16 image tiles from a single gastric biopsy slide; 20× magnification; H&E.
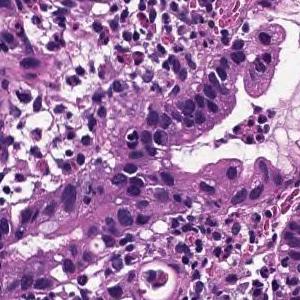
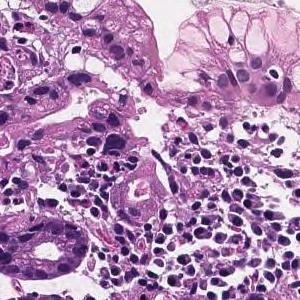
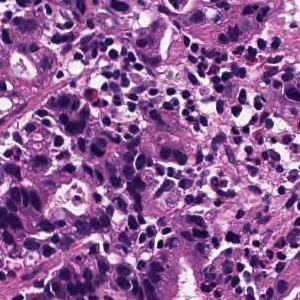
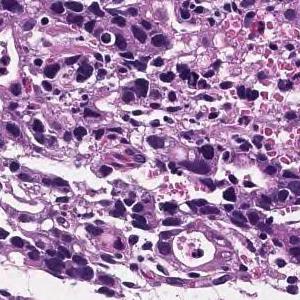
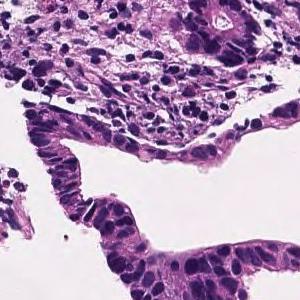
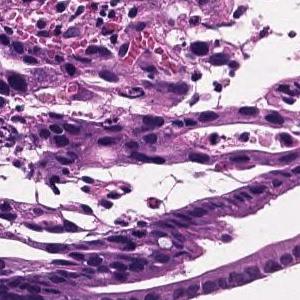
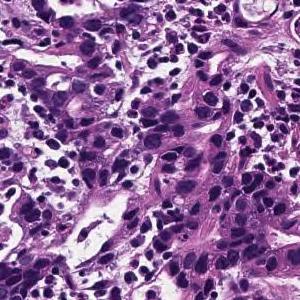
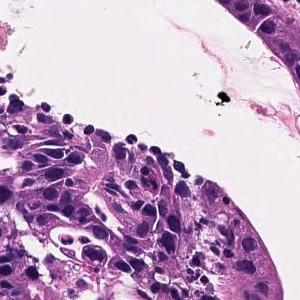
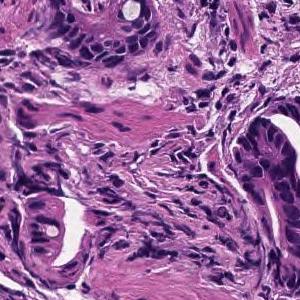
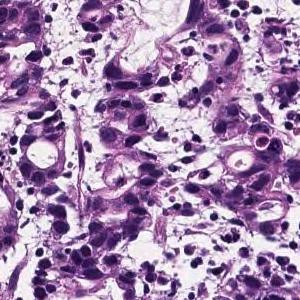
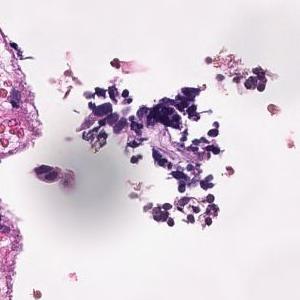
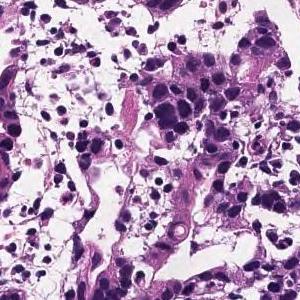
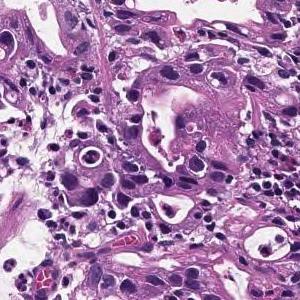
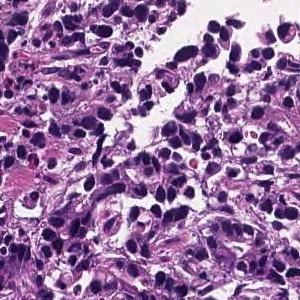
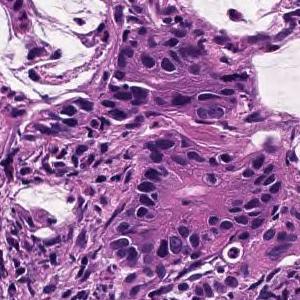
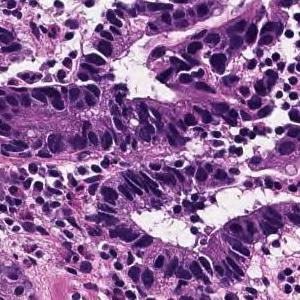
Report on the slide these tiles come from. The report describes the whole slide, diagnosis included: not every finding it names need appear in these tiles, which may also show non-tumor tissue.
In the superficial epithelium, tumor tissue that invades by forming medium-sized to small, irregular ducts is observed. moderately differentiated tubular adenocarcinoma.
